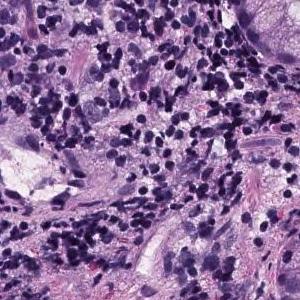
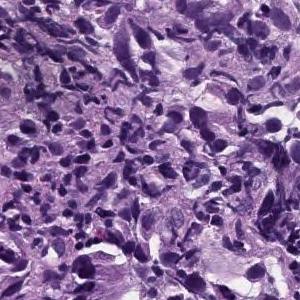
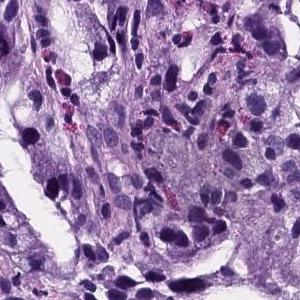
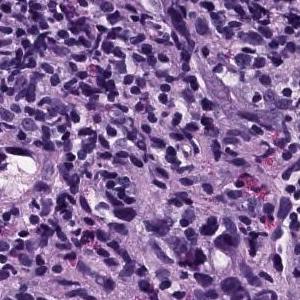
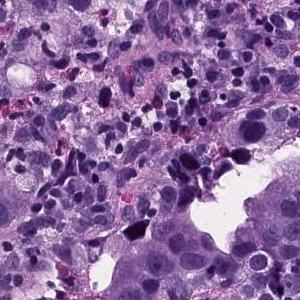
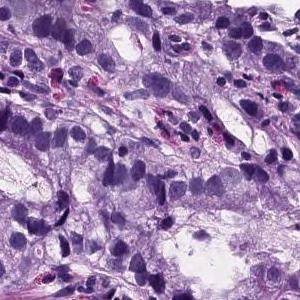
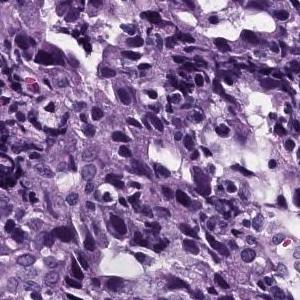
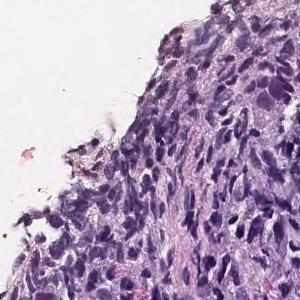
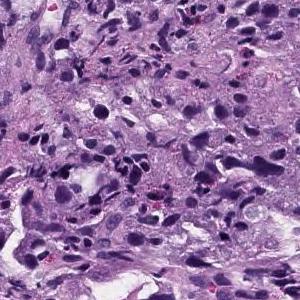
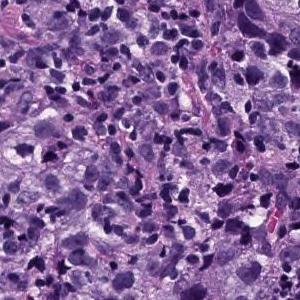
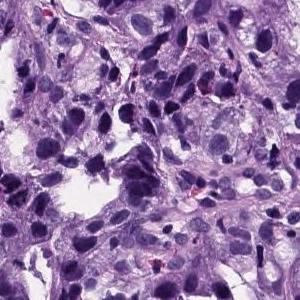
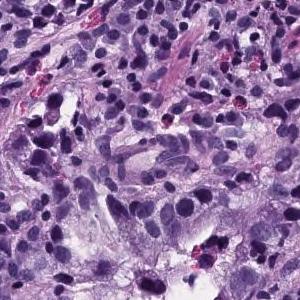
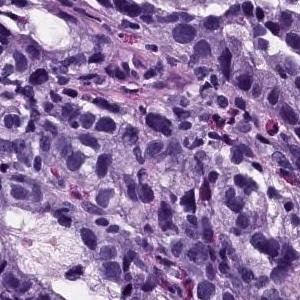
H&E; 13 patches cut from one gastric biopsy slide; 300 × 300 pixels each.
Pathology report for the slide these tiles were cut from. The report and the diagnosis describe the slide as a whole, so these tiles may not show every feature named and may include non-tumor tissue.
Atypical epithelial cells infiltrating and proliferating while forming solid or cord-like fused glandular cavities of different sizes is observed. moderately differentiated tubular adenocarcinoma, poorly differentiated adenocarcinoma.
Subtype: Moderately to poorly differentiated adenocarcinoma.
